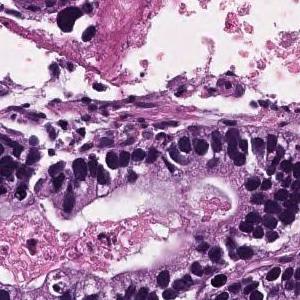
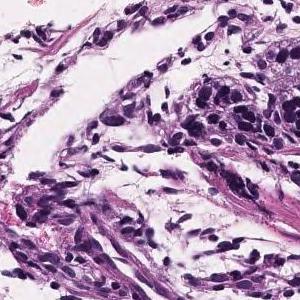
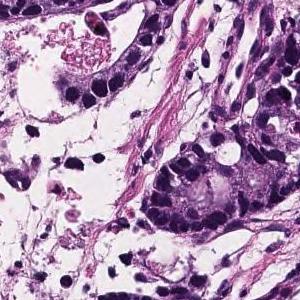
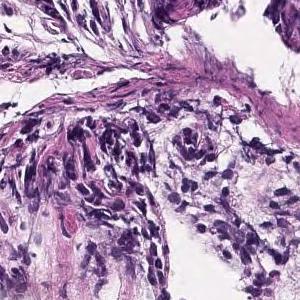
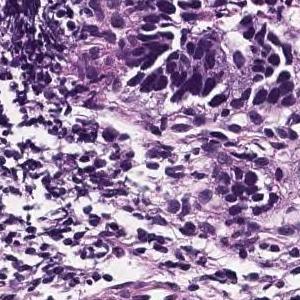
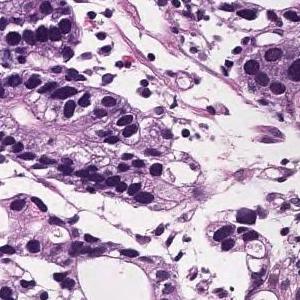
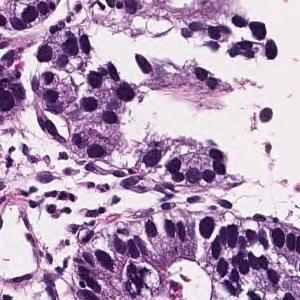
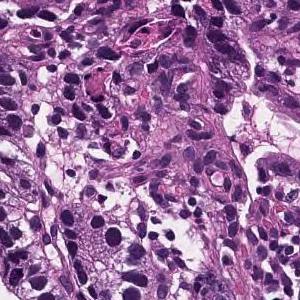
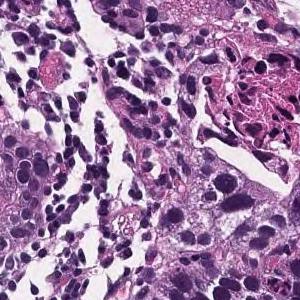
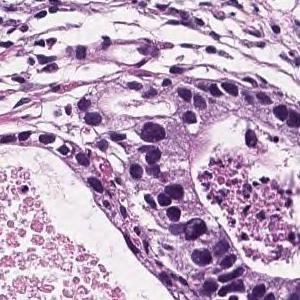
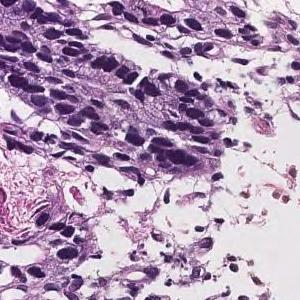
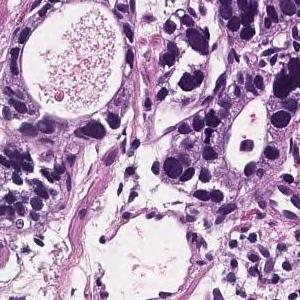
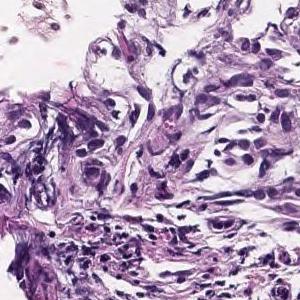
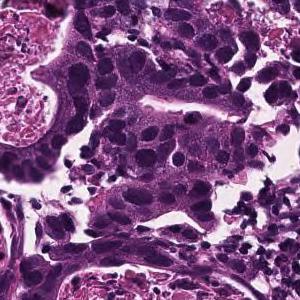
14 tiles from the same stomach biopsy slide, 300×300 px each, scanned at ×20, hematoxylin and eosin stain.
Pathology report for the biopsy slide these tiles were cut from. What the report and the diagnosis say applies to the whole slide; these tiles may miss some of the features named and may include tissue that is not tumor.
In the superficial epithelium, tumor tissue that invades by forming medium-sized to small, irregular ducts is observed. Well differentiated tubular adenocarcinoma.
